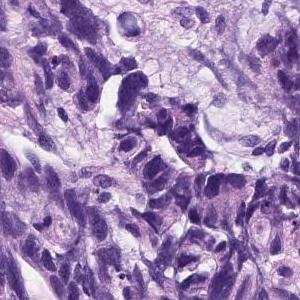
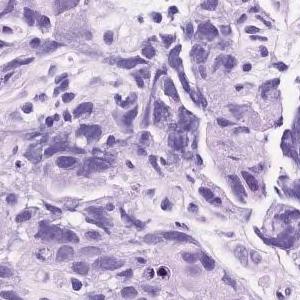
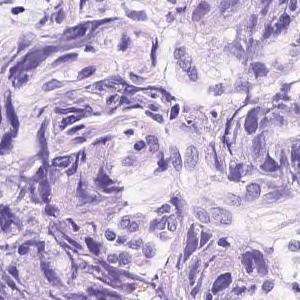
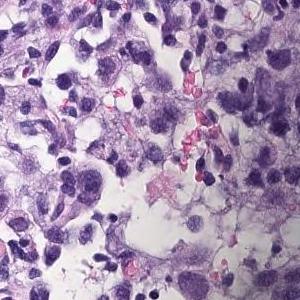
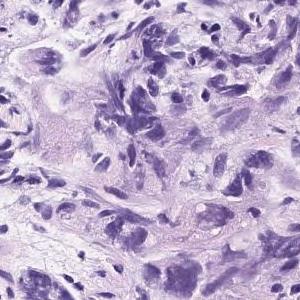
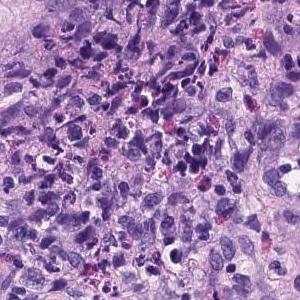
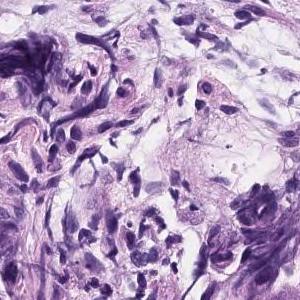
H&E stain; 20× magnification; 7 tiles from the same stomach biopsy slide; each 300 × 300 pixels.
Pathology report for the biopsy slide these tiles were cut from. The report and the diagnosis cover the entire slide, so not every feature they name need be visible here, and some tissue shown may not be tumor.
Atypical epithelial cells with an increased N/C ratio proliferate and consist of a part that shows the formation of gland ducts and a part that shows solid growth. Poorly differentiated adenocarcinoma, solid-type
Tumor subtype: poorly differentiated adenocarcinoma, solid type, a category of the Japanese Classification of Gastric Carcinoma; in the WHO 2019 classification it is tubular adenocarcinoma, poorly differentiated.
